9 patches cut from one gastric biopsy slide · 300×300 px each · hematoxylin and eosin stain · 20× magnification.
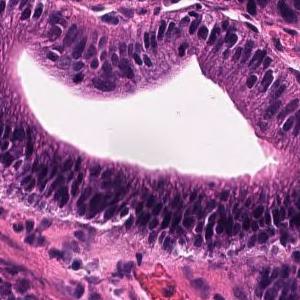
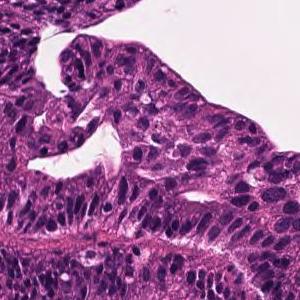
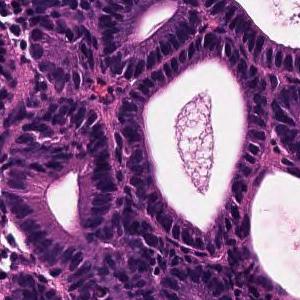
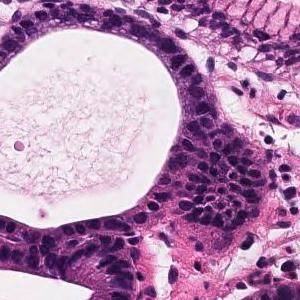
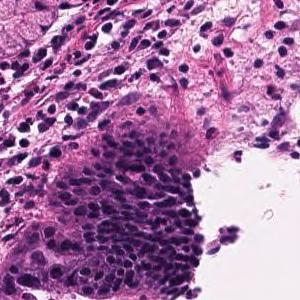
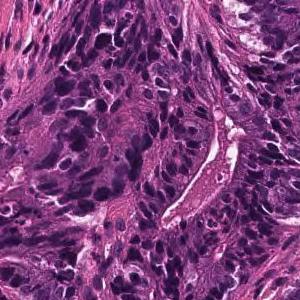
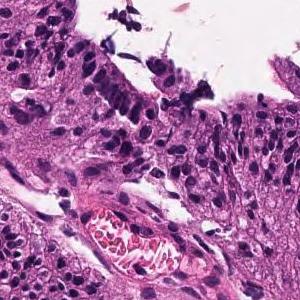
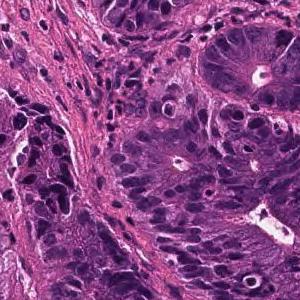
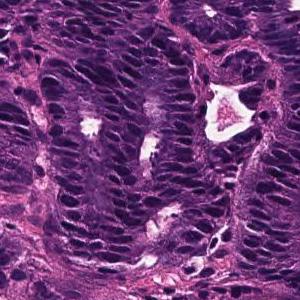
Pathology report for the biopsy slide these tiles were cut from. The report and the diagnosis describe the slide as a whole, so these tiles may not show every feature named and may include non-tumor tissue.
Tumor tissue that remains within the superficial epithelium and is infiltrated by large papillary or irregular ducts that fuse with each other is observed. Well differentiated tubular adenocarcinoma
